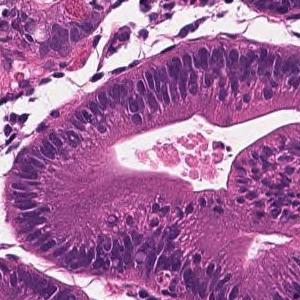
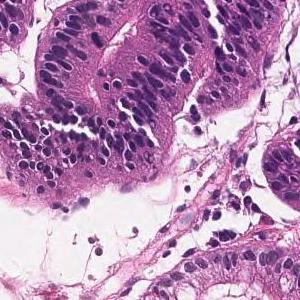
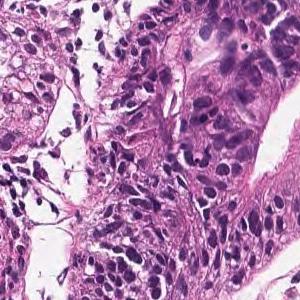
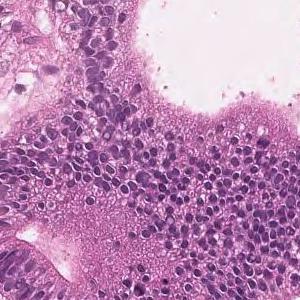
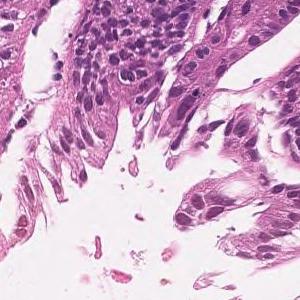
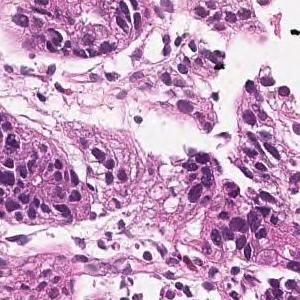
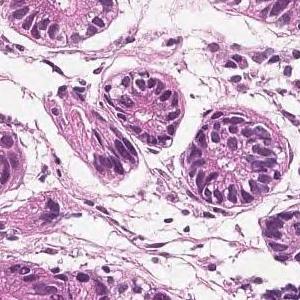
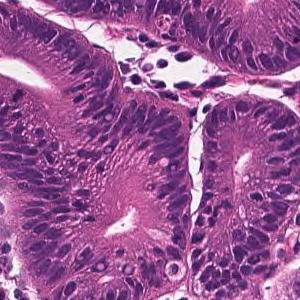
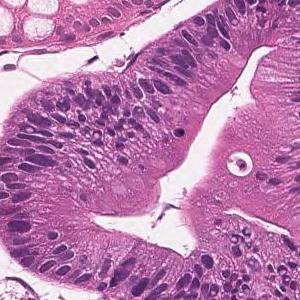
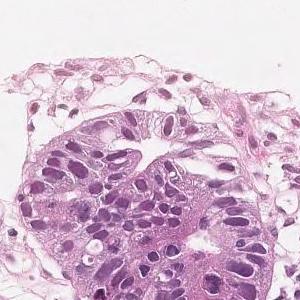
20× magnification, hematoxylin and eosin stain, 10 tiles cut from one stomach biopsy slide, 300×300 px each.
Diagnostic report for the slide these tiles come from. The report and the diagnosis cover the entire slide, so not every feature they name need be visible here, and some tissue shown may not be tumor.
In the superficial epithelium, tumor tissue that invades by forming medium-sized to small, irregular ducts is observed. Well differentiated tubular adenocarcinoma.
